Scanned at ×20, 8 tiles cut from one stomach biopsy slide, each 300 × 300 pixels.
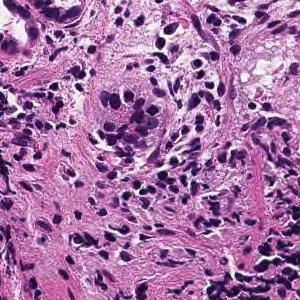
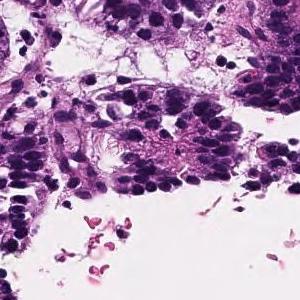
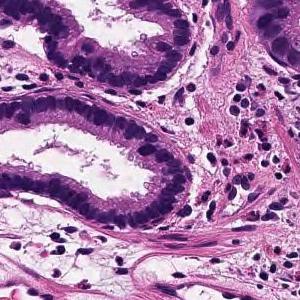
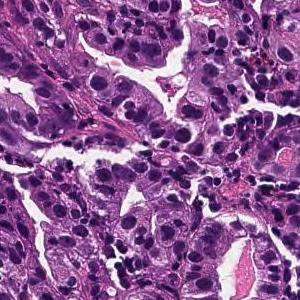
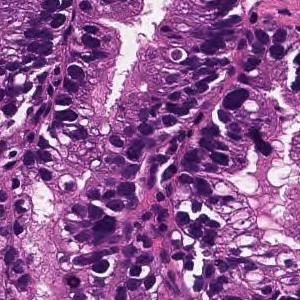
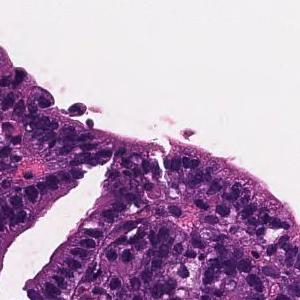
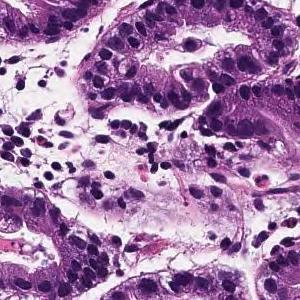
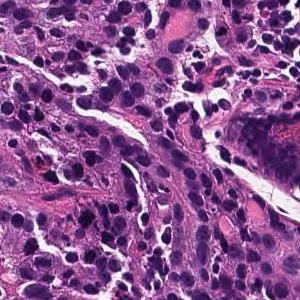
The pathologist's report on the biopsy slide these tiles were taken from. The report and the diagnosis describe the slide as a whole, so these tiles may not show every feature named and may include non-tumor tissue.
From the superficial epithelium to the muscularis mucosae, tumor tissue consisting of medium-sized and irregular glandular ducts infiltrating is observed. Well differentiated tubular adenocarcinoma
